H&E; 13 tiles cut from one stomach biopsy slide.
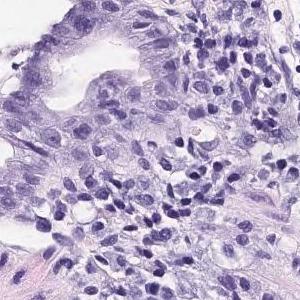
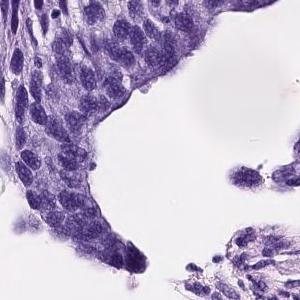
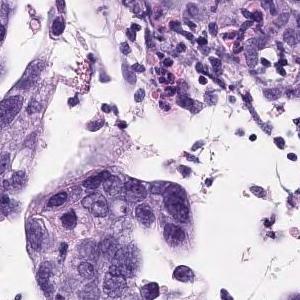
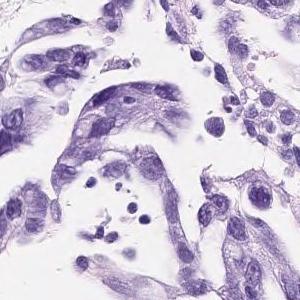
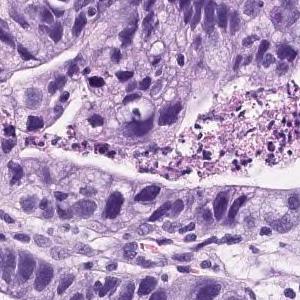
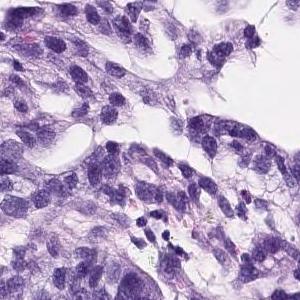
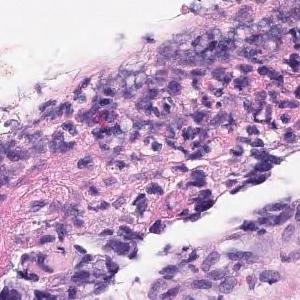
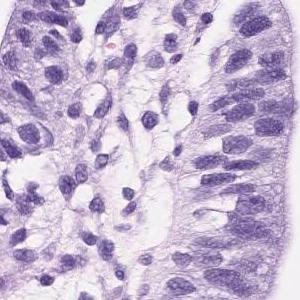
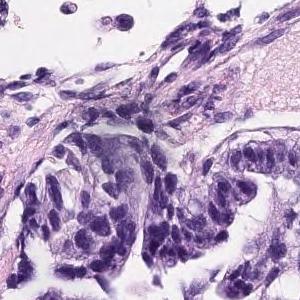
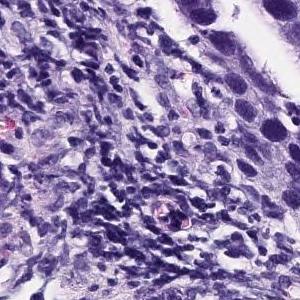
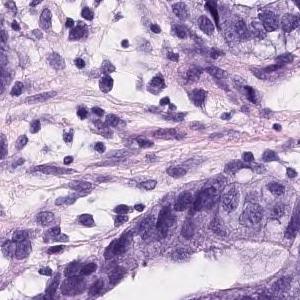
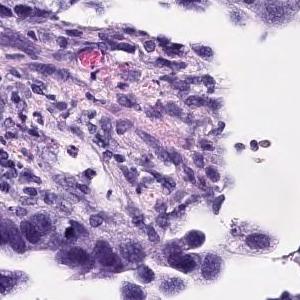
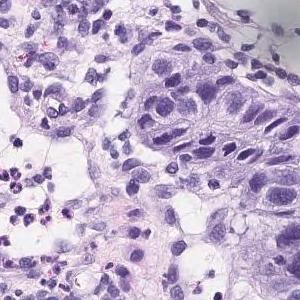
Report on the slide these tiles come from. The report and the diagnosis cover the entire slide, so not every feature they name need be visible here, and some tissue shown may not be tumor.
On the superficial epithelium, tumor tissue consisting of medium to small irregular tubules partially fused and proliferated is observed. moderately differentiated tubular adenocarcinoma
